×20; 15 tiles cut from one stomach biopsy slide; each 300 × 300 pixels.
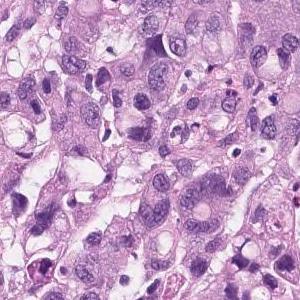
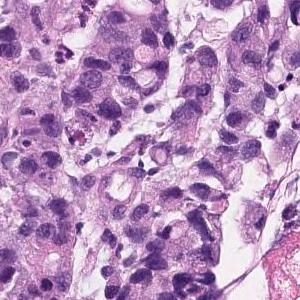
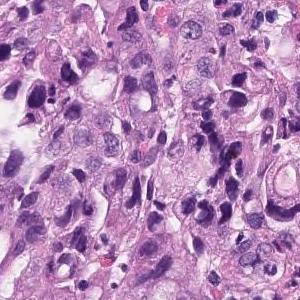
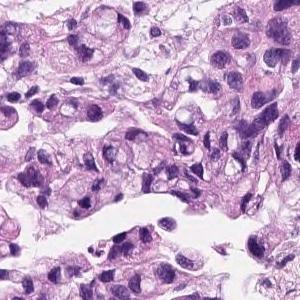
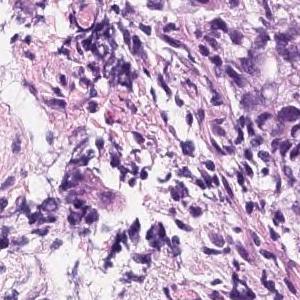
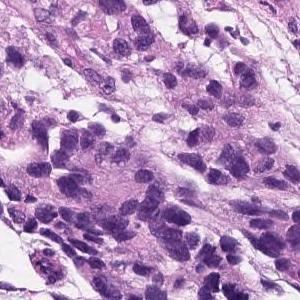
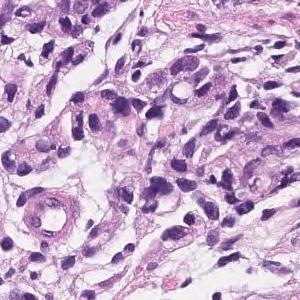
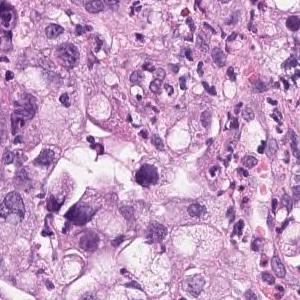
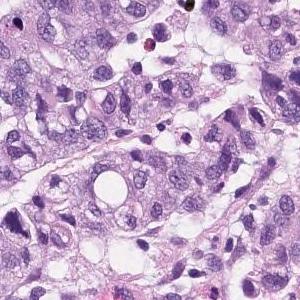
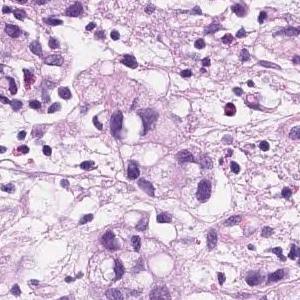
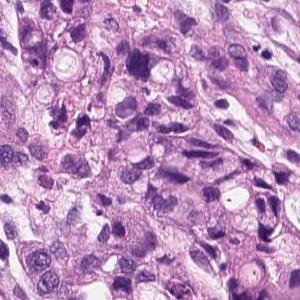
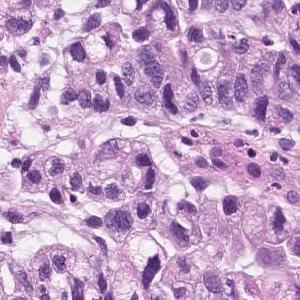
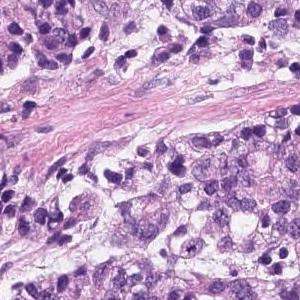
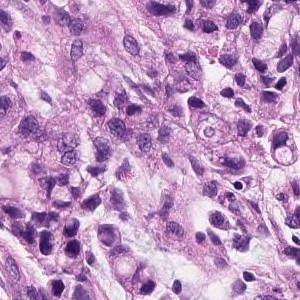
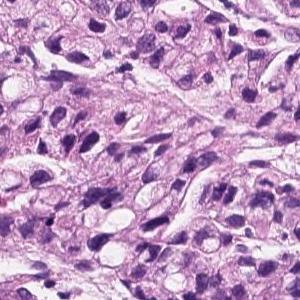
Pathology report for the slide these tiles were cut from. The report and the diagnosis describe the slide as a whole, so these tiles may not show every feature named and may include non-tumor tissue.
Group 5, Adenocarcinoma. Poorly differentiated adenocarcinoma, non-solid type
The non-solid type named here is a Japanese Classification of Gastric Carcinoma category.
